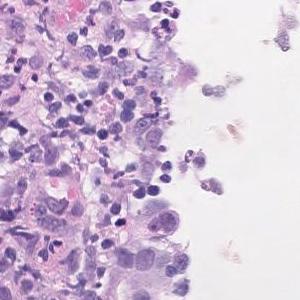
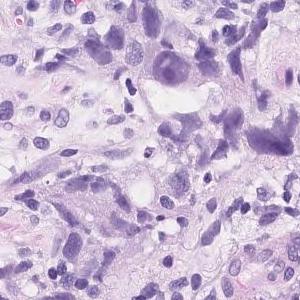
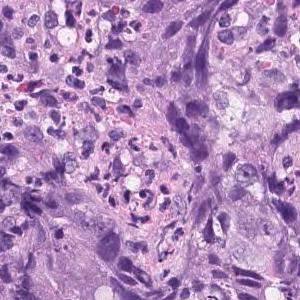
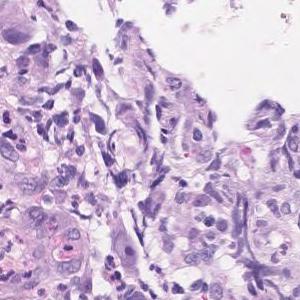
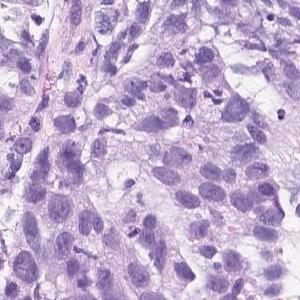
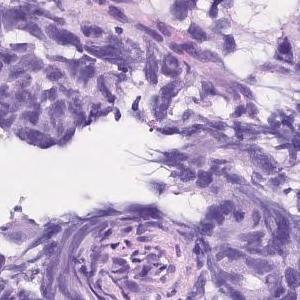
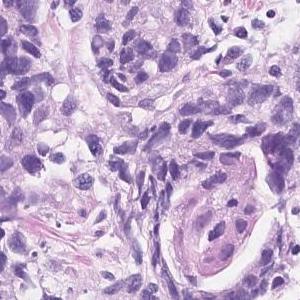
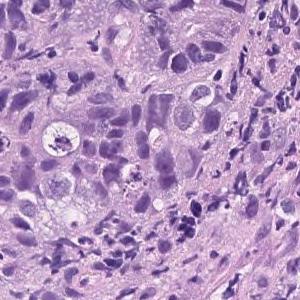
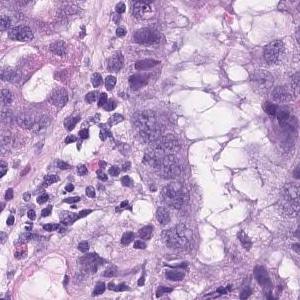
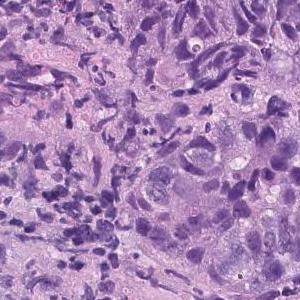
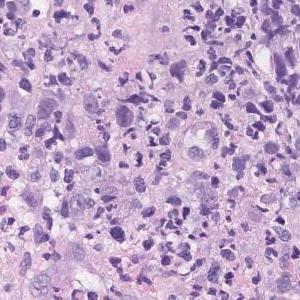
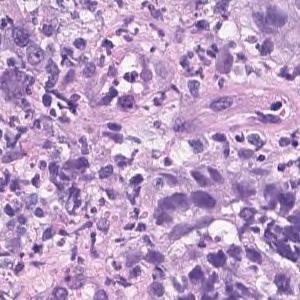
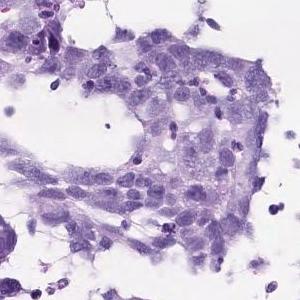
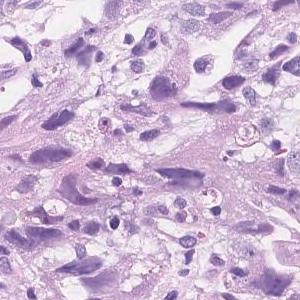
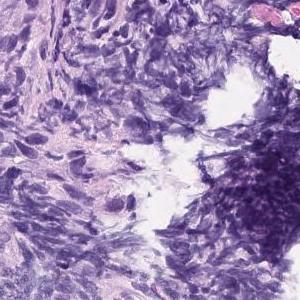
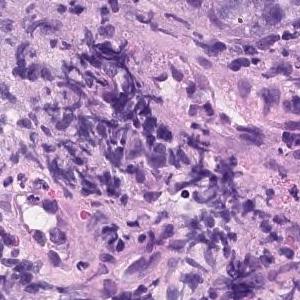
H&E, 20× magnification, 16 image tiles from a single gastric biopsy slide, 300×300 px each.
Report on the slide these tiles come from. The report and the diagnosis describe the slide as a whole, so these tiles may not show every feature named and may include non-tumor tissue.
Atypical epithelial cells infiltrating and proliferating diffusely or while forming vesicles is observed. Poorly differentiated adenocarcinoma (poorly differentiated adenocarcinoma, solid type moderately differentiated tubular adenocarcinoma)
The dataset labels this slide poorly differentiated adenocarcinoma, solid type (Japanese Classification of Gastric Carcinoma). The WHO 2019 equivalent is tubular adenocarcinoma, poorly differentiated.
